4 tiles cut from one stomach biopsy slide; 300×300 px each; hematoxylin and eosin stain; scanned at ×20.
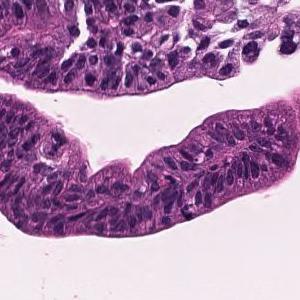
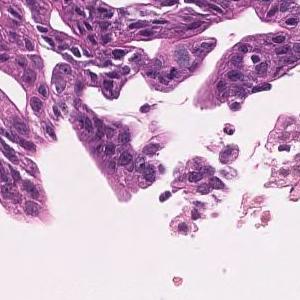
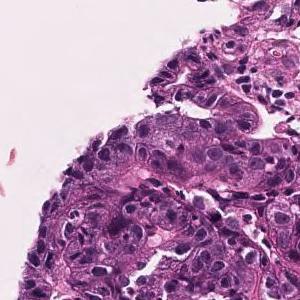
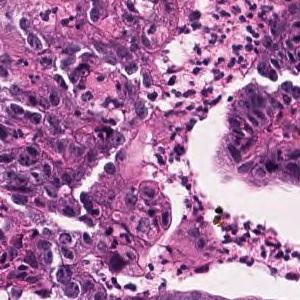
Diagnostic report for the slide these tiles come from. The report and the diagnosis cover the entire slide, so not every feature they name need be visible here, and some tissue shown may not be tumor.
In the superficial epithelium, tumor tissue that invades by forming medium-sized to small, irregular ducts is observed. Well differentiated tubular adenocarcinoma.
